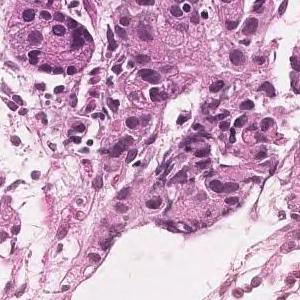
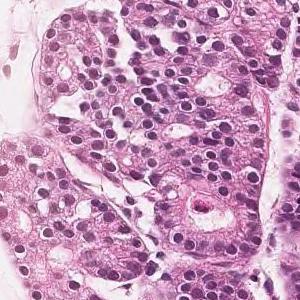
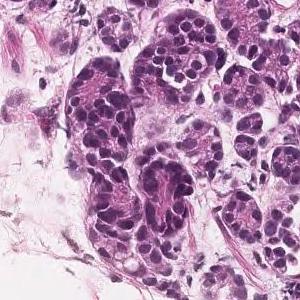
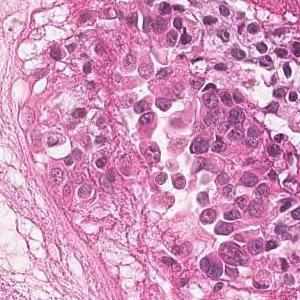
4 image tiles from a single gastric biopsy slide, 300 × 300 pixels each, H&E, scanned at ×20.
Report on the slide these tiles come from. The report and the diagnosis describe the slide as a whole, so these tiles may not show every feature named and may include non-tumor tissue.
In the superficial epithelium, tumor tissue that invades by forming medium-sized to small, irregular ducts is observed. Moderately differentiated adenocarcinoma.
Classified as moderately differentiated tubular adenocarcinoma.
